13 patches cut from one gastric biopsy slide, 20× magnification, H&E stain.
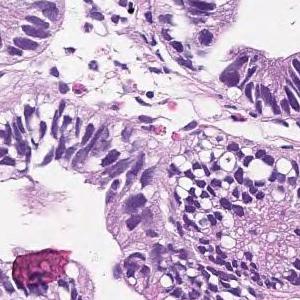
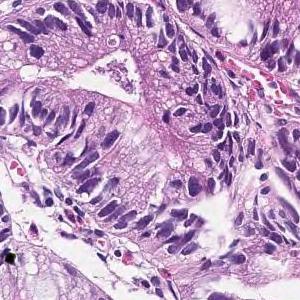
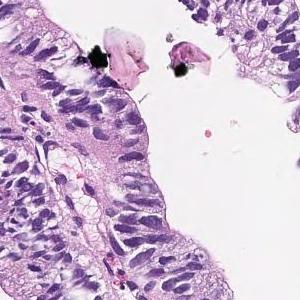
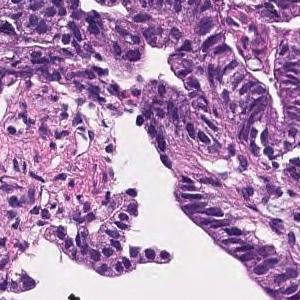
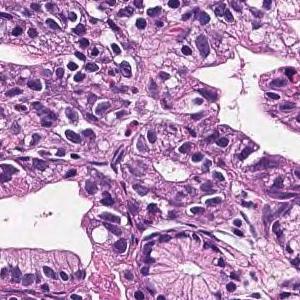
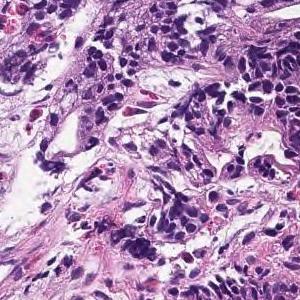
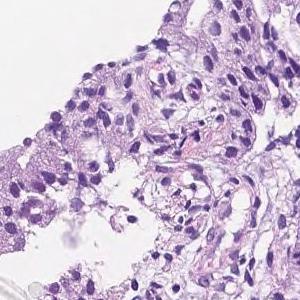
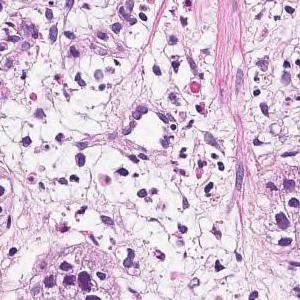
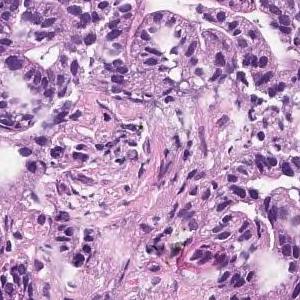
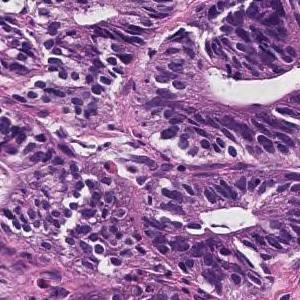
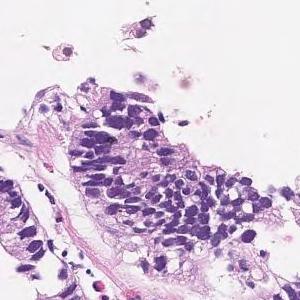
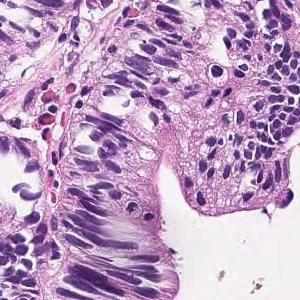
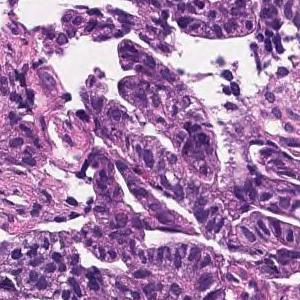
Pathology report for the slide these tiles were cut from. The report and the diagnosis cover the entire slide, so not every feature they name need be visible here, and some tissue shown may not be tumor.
In the superficial epithelium, tumor tissue that invades by forming medium-sized to small, irregular ducts is observed. Moderately differentiated adenocarcinoma.
Classified as moderately differentiated tubular adenocarcinoma.
